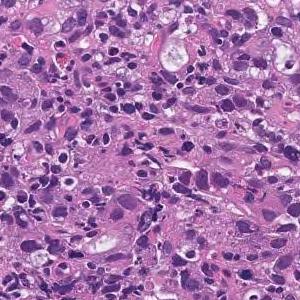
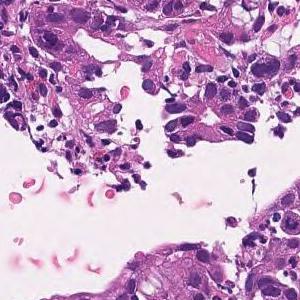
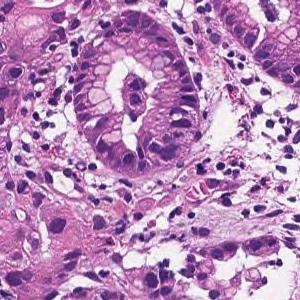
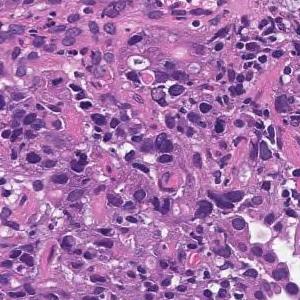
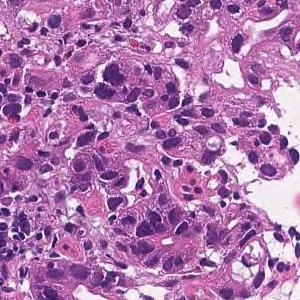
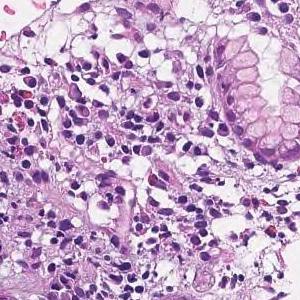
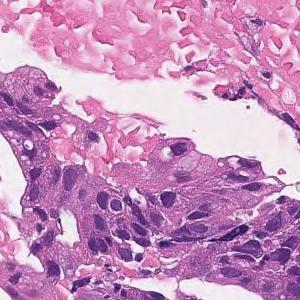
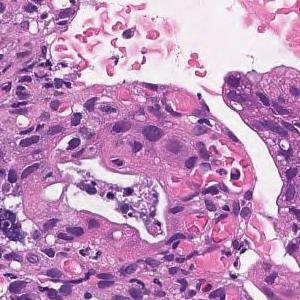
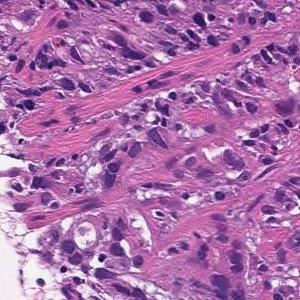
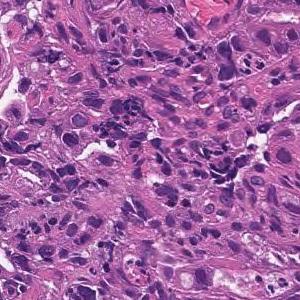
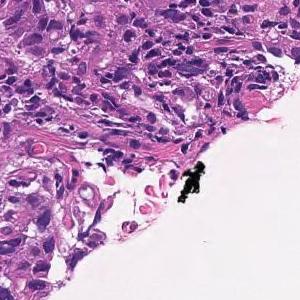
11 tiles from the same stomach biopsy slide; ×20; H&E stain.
Pathology report for the slide these tiles were cut from. The report and the diagnosis describe the slide as a whole, so these tiles may not show every feature named and may include non-tumor tissue.
In the superficial epithelium, tumor tissue that invades by forming medium-sized to small, irregular ducts is observed. moderately differentiated tubular adenocarcinoma.
